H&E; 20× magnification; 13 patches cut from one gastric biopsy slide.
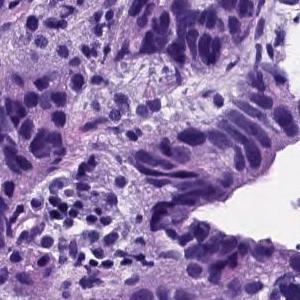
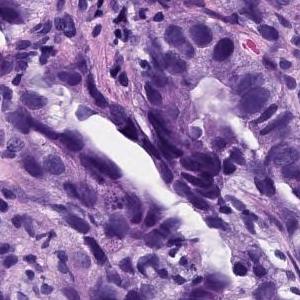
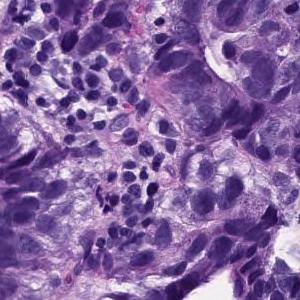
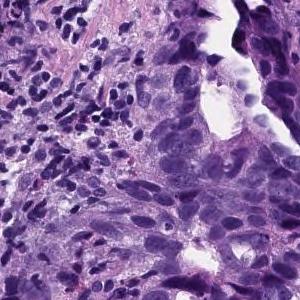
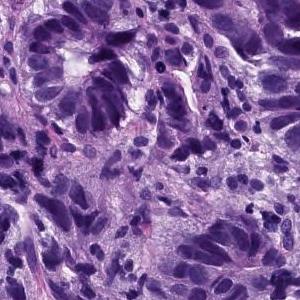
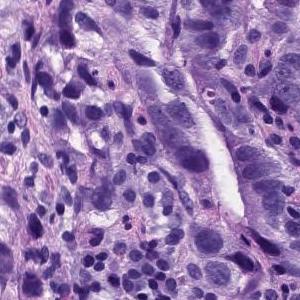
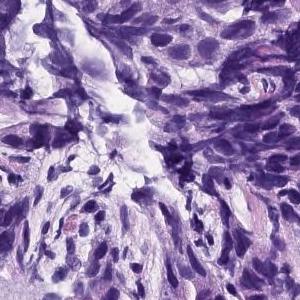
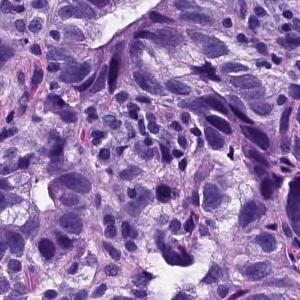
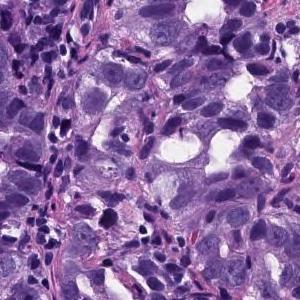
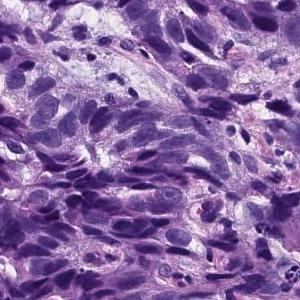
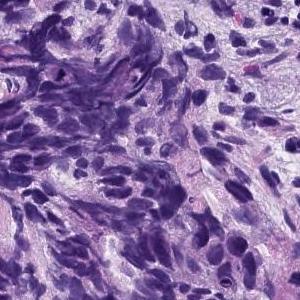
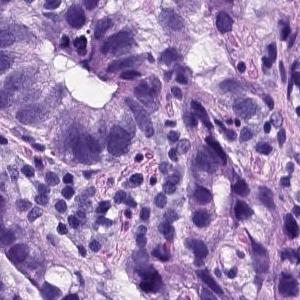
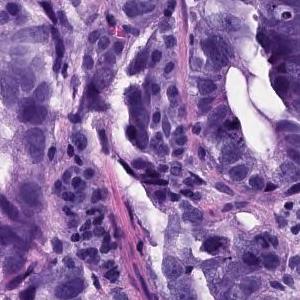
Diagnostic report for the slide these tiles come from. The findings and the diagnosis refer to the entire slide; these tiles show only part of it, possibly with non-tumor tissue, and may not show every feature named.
In the superficial epithelium, tumor tissue that invades by forming medium-sized to small, irregular ducts is observed. Moderately differentiated adenocarcinoma.
Tumor subtype: moderately differentiated tubular adenocarcinoma.
